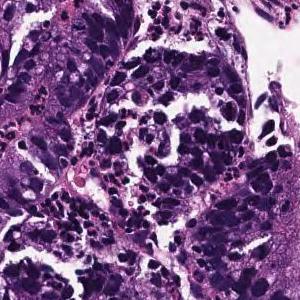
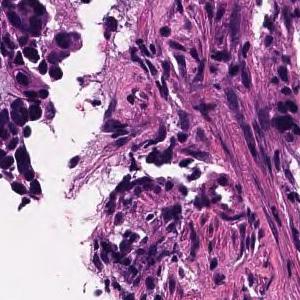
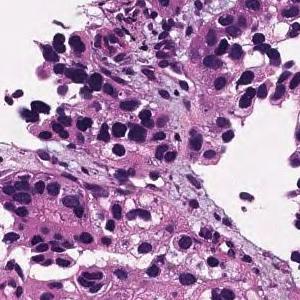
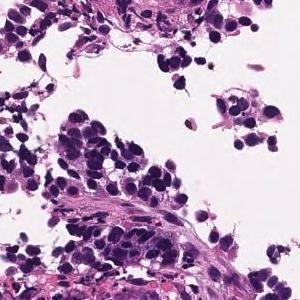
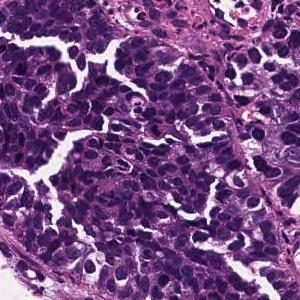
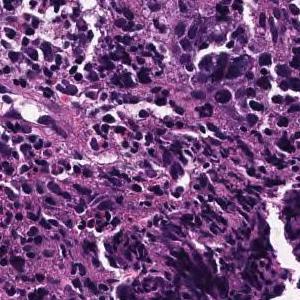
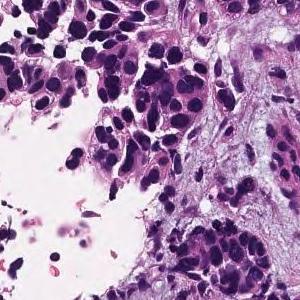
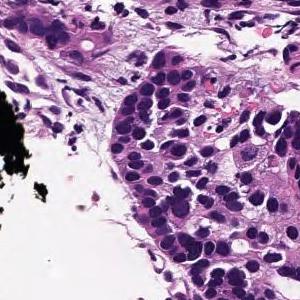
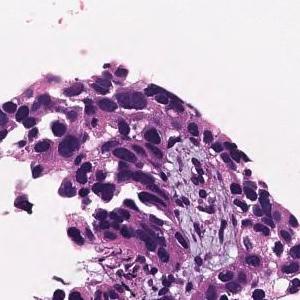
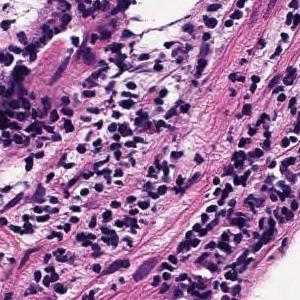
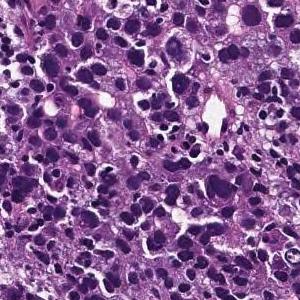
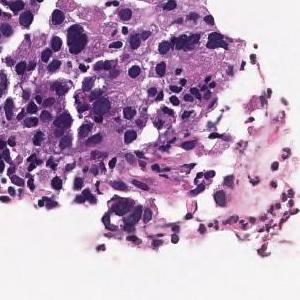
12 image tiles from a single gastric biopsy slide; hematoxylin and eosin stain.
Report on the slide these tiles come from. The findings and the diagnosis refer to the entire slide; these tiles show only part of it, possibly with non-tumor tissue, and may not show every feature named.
Medium to small, irregular glandular ducts are formed in the superficial epithelium, and in some cases, the glandular ducts are fused to show solid alveolar lesions and infiltrating tumor tissue is observed. Moderately to poorly differentiated adenocarcinoma.
